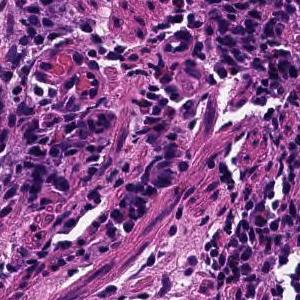
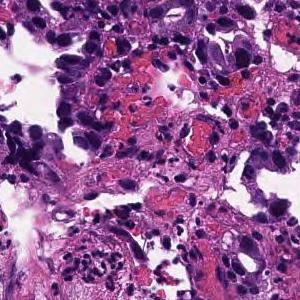
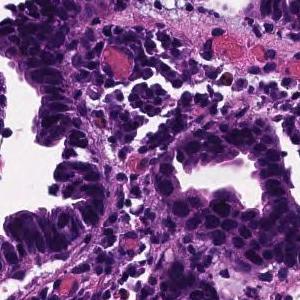
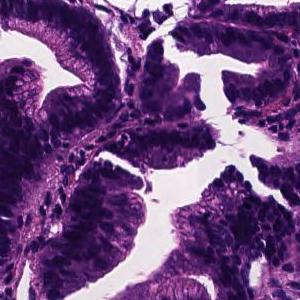
4 tiles cut from one stomach biopsy slide, 300×300 px each, H&E stain, ×20.
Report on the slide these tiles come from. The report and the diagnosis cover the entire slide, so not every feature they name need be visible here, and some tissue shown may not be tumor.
On the superficial epithelium, tumor tissue that infiltrates by forming medium-sized papillary or small irregular ducts is observed. Papillary adenocarcinoma
